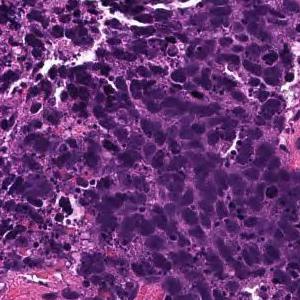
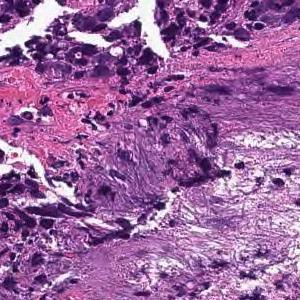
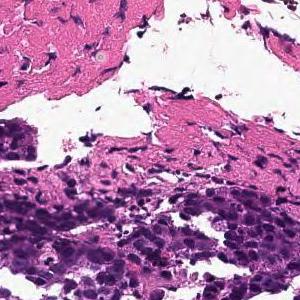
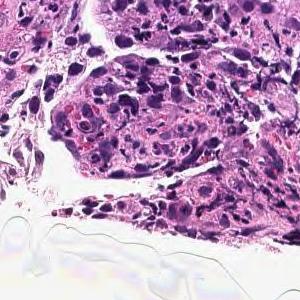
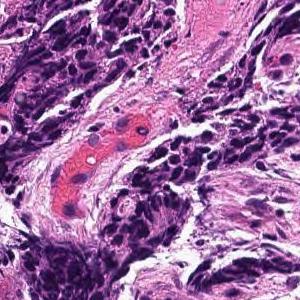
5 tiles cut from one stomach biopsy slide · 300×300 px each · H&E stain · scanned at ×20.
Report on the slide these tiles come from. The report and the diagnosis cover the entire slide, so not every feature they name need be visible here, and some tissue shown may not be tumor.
The superficial epithelium shows a large sheet or alveolar shape, and tumor tissue infiltrating without irregular ducts is observed. Poorly differentiated adenocarcinoma, solid-type
Histologic type: Poorly differentiated adenocarcinoma, solid type (Japanese Classification of Gastric Carcinoma). The WHO 2019 equivalent is tubular adenocarcinoma, poorly differentiated.
